H&E stain; 20× magnification; 7 patches cut from one gastric biopsy slide.
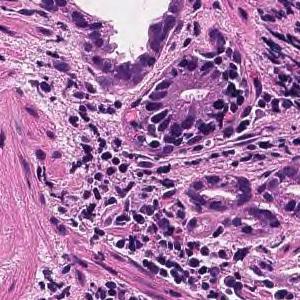
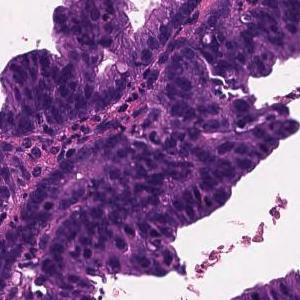
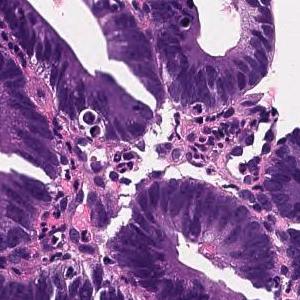
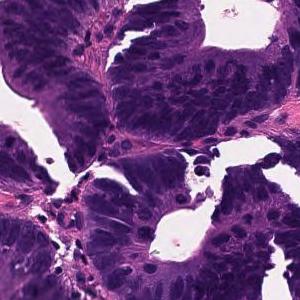
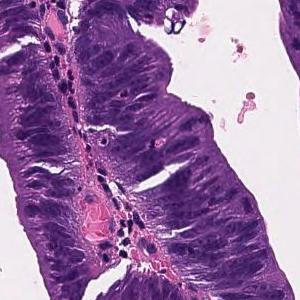
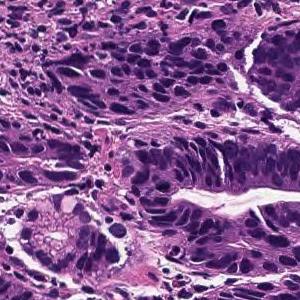
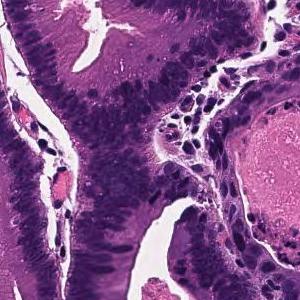
Pathology report for the biopsy slide these tiles were cut from. The report and the diagnosis cover the entire slide, so not every feature they name need be visible here, and some tissue shown may not be tumor.
Tumor tissue consisting of large papillary structures is found in the superficial epithelium. Papillary adenocarcinoma.
